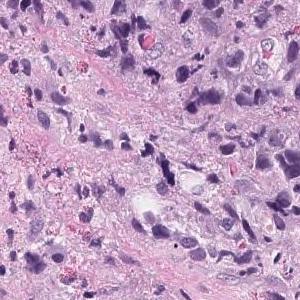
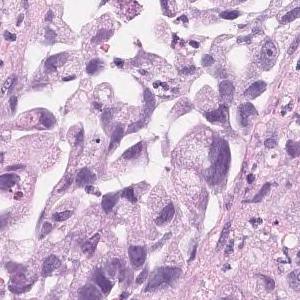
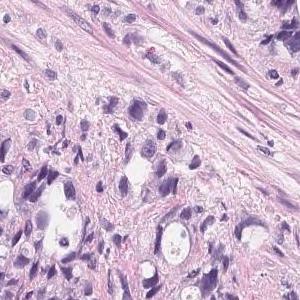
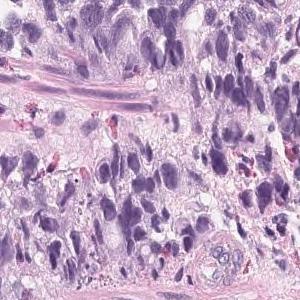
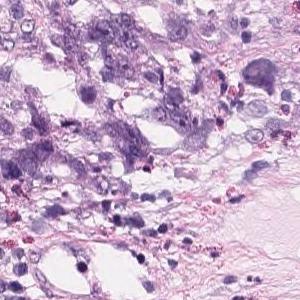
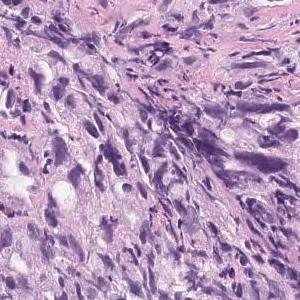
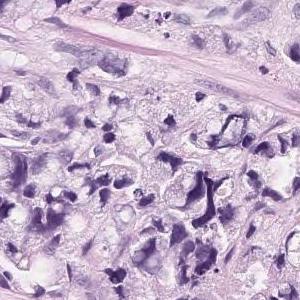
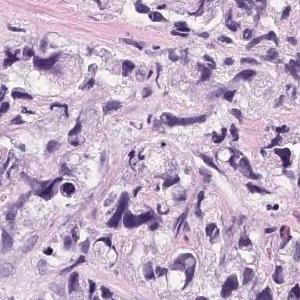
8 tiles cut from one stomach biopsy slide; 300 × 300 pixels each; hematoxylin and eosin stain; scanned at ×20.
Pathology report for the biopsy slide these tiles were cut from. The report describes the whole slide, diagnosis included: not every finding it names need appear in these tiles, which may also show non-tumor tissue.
Tumor tissue that infiltrates and proliferates by forming small glandular cavities in the superficial layer to the submucosa or forming a mass is observed. moderately differentiated tubular adenocarcinoma
